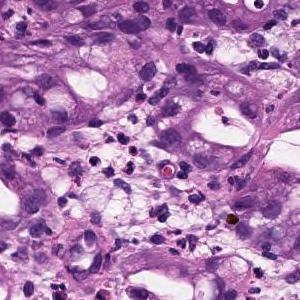
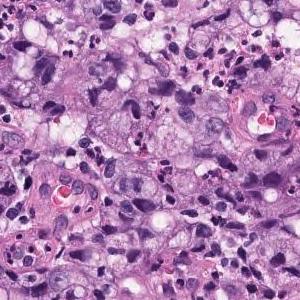
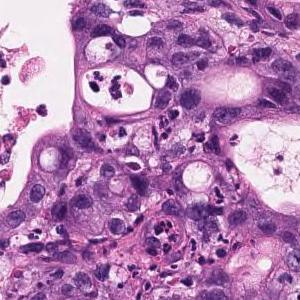
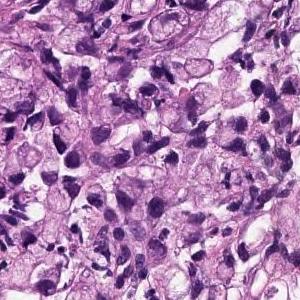
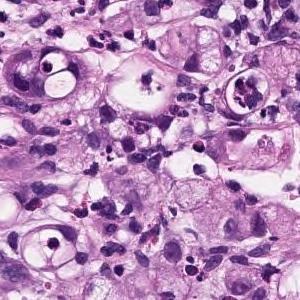
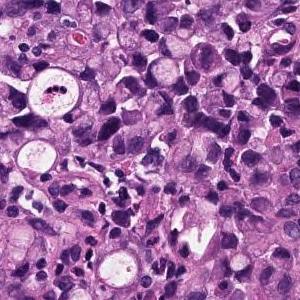
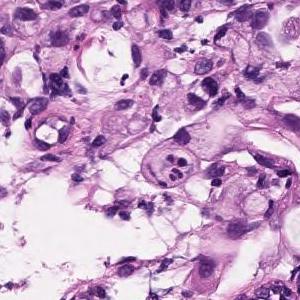
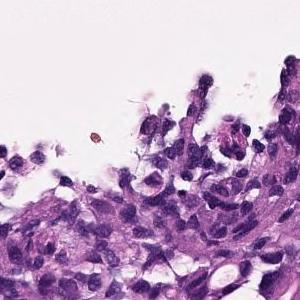
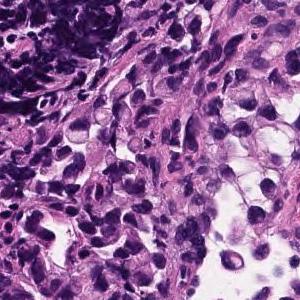
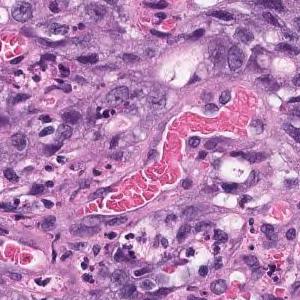
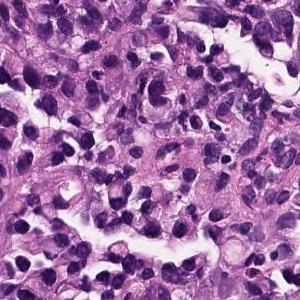
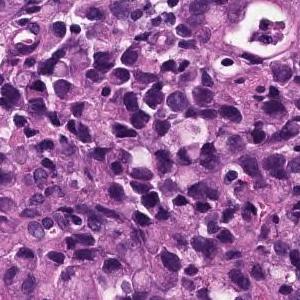
×20; hematoxylin and eosin stain; 12 patches cut from one gastric biopsy slide; each 300 × 300 pixels.
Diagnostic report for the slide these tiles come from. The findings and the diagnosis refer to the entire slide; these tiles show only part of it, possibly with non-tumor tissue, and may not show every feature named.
Atypical epithelium forms irregularly fused gland ducts and proliferates. Poorly differentiated adenocarcinoma.
Subtype: Poorly differentiated adenocarcinoma, non-solid type.
The term "non-solid type" comes from the Japanese Classification of Gastric Carcinoma.
